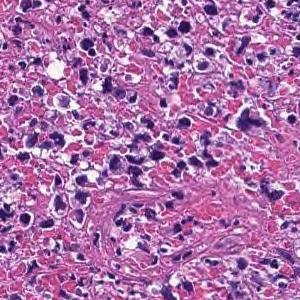
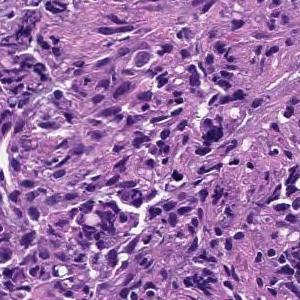
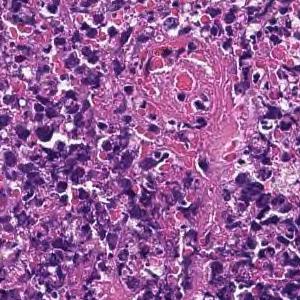
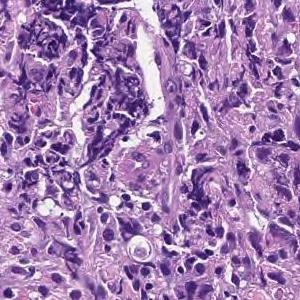
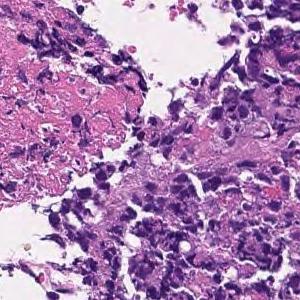
5 patches cut from one gastric biopsy slide, 300×300 px each.
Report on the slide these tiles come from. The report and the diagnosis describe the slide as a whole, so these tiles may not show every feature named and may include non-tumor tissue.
Most are composed of coagulative necrotic tissue, but some show a large sheet-like shape, and some show tumor tissue infiltrating with a small cord-like structure. Poorly differentiated adenocarcinoma, solid-type
Classified as poorly differentiated adenocarcinoma, solid type. This name comes from the Japanese Classification of Gastric Carcinoma; the WHO 2019 classification calls it tubular adenocarcinoma, poorly differentiated.
